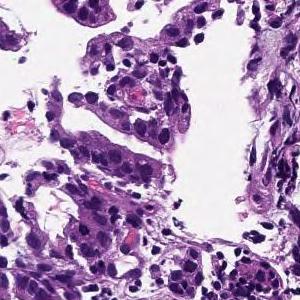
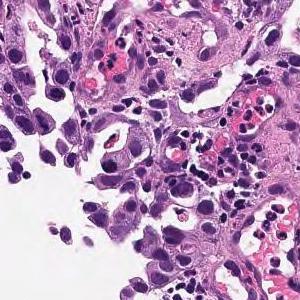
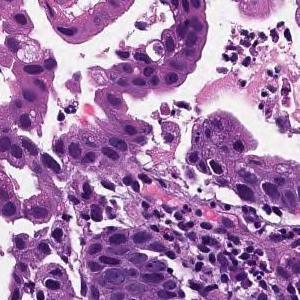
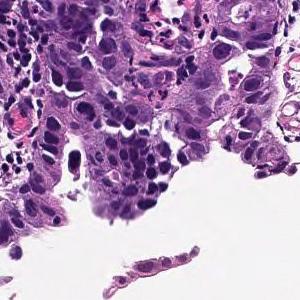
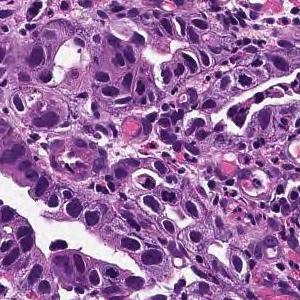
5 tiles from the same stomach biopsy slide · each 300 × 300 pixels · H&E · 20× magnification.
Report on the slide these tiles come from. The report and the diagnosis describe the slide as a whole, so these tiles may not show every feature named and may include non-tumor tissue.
In the superficial epithelium, tumor tissue that invades by forming medium-sized to small, irregular ducts is observed. moderately differentiated tubular adenocarcinoma.
